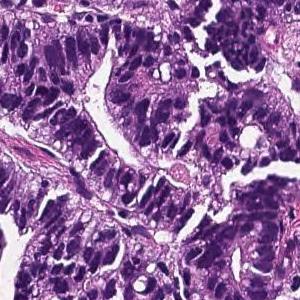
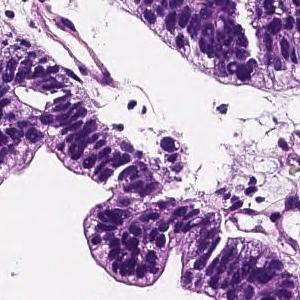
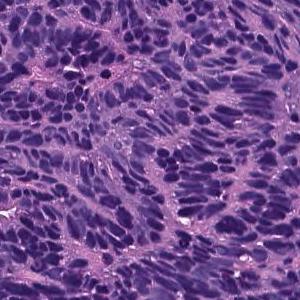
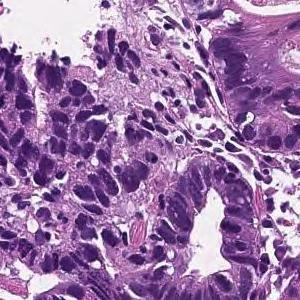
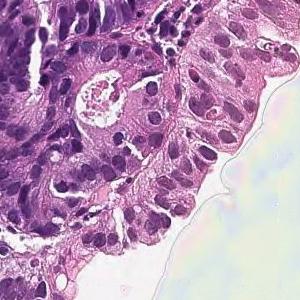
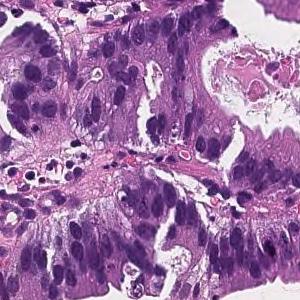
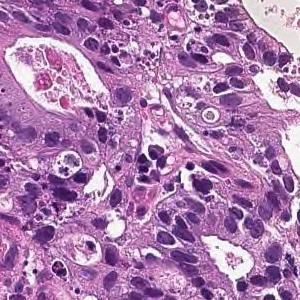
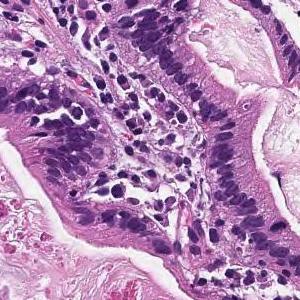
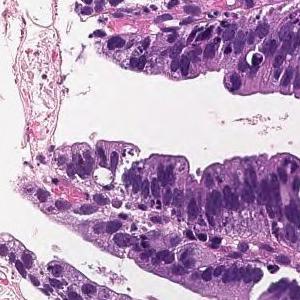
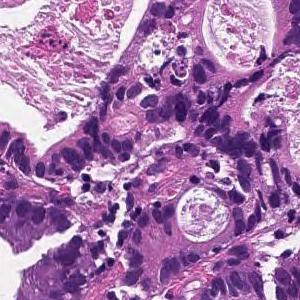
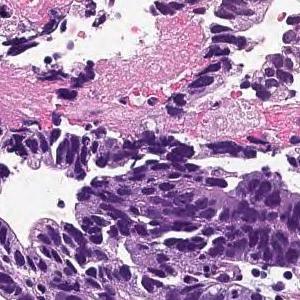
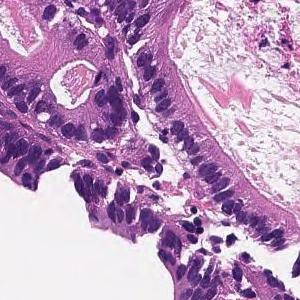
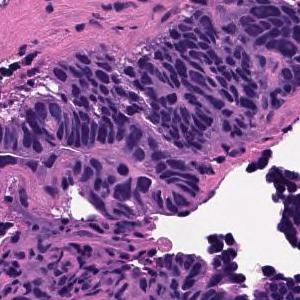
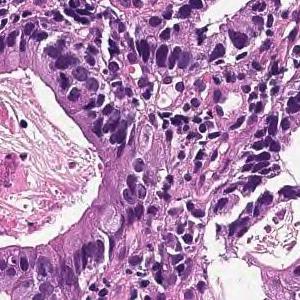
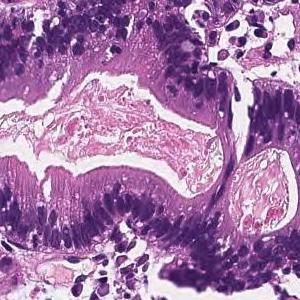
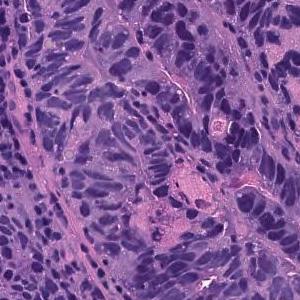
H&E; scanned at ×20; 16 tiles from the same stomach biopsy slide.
Pathology report for the slide these tiles were cut from. The report and the diagnosis describe the slide as a whole, so these tiles may not show every feature named and may include non-tumor tissue.
In the superficial epithelium, tumor tissue that invades by forming medium-sized to small, irregular ducts is observed. moderately differentiated tubular adenocarcinoma.
